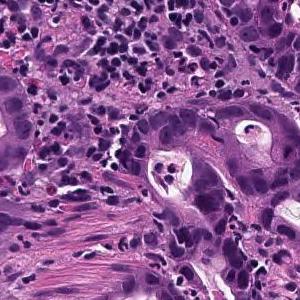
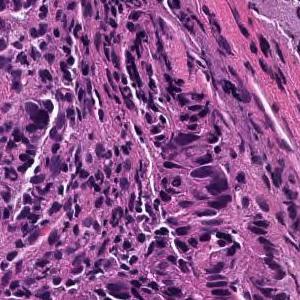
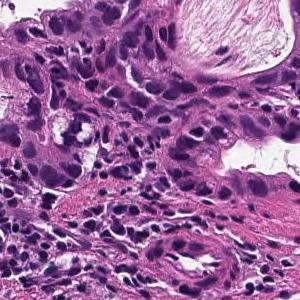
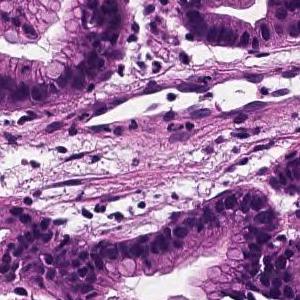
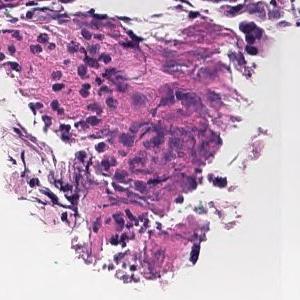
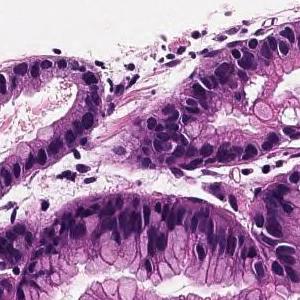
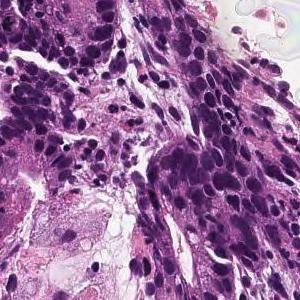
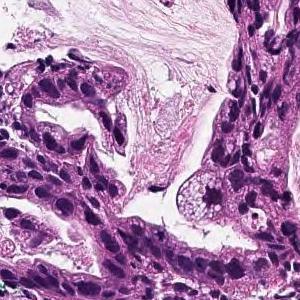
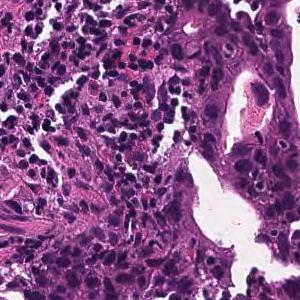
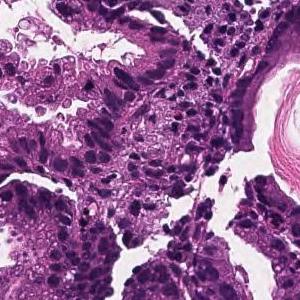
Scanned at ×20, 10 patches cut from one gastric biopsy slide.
Pathology report for the biopsy slide these tiles were cut from. Both the report and the diagnosis are for the whole slide: these tiles need not show every feature named, and some of the tissue shown may not be tumor.
Tumor cells are large, highly columnar, large club-shaped nuclei, and are associated with chromatin aggregation. Papillary adenocarcinoma.
